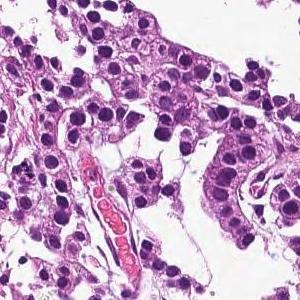
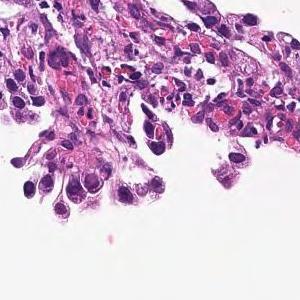
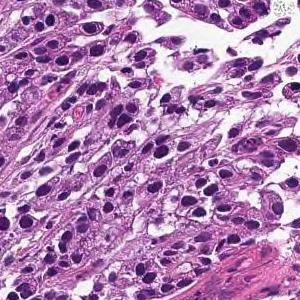
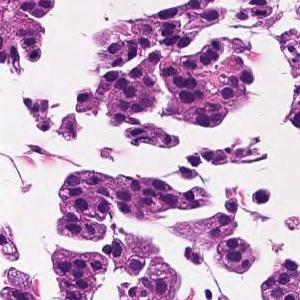
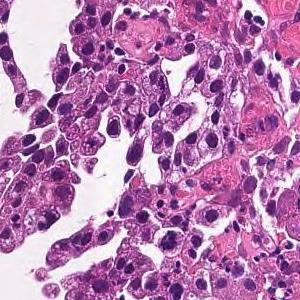
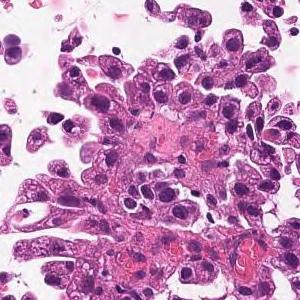
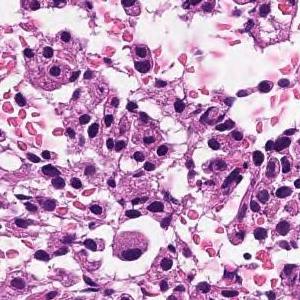
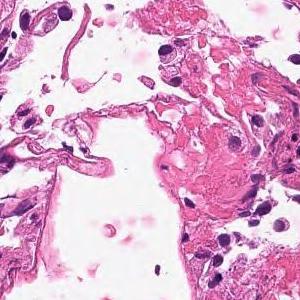
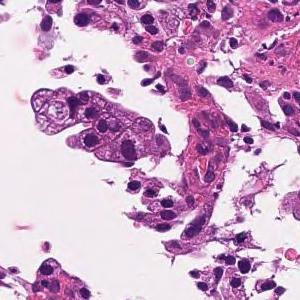
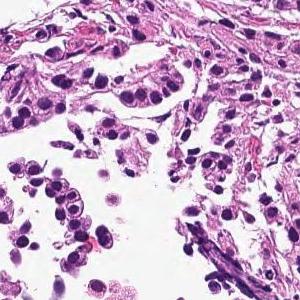
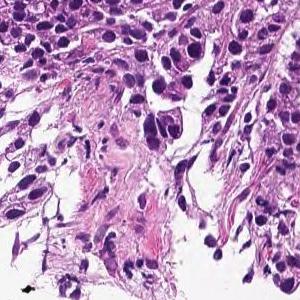
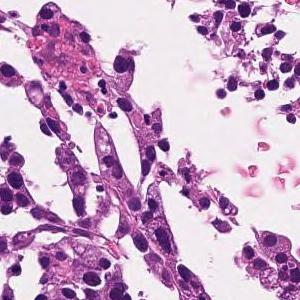
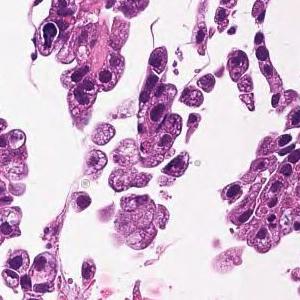
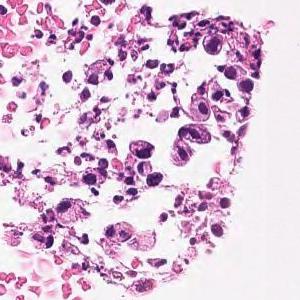
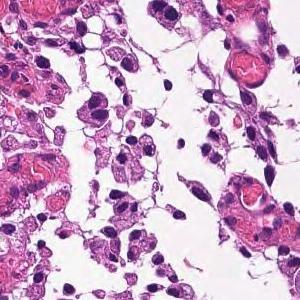
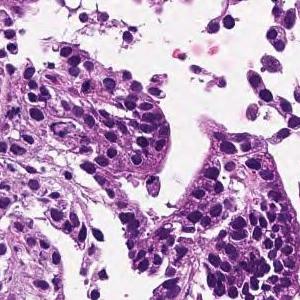
20× magnification, 16 tiles from the same stomach biopsy slide, 300×300 px each.
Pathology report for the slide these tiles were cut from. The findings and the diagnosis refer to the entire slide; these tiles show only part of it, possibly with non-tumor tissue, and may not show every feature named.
In the superficial epithelium, tumor tissue that invades by forming medium-sized to small, irregular ducts is observed. moderately differentiated tubular adenocarcinoma.
